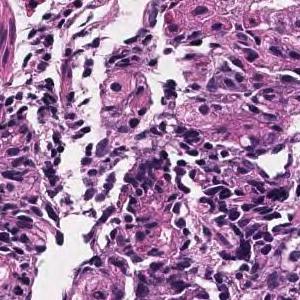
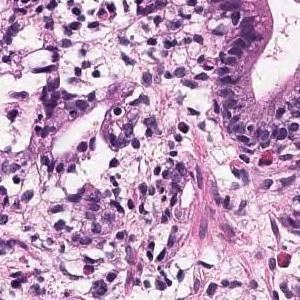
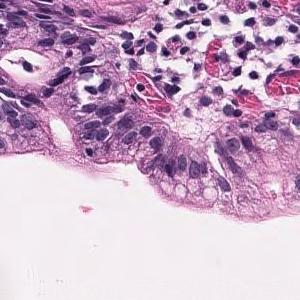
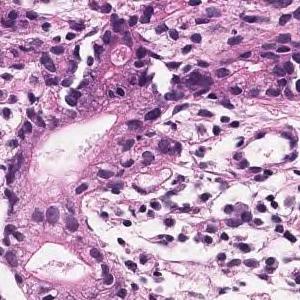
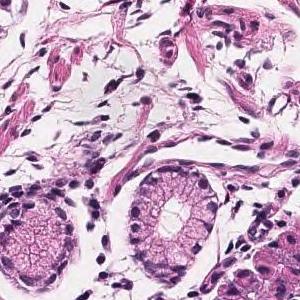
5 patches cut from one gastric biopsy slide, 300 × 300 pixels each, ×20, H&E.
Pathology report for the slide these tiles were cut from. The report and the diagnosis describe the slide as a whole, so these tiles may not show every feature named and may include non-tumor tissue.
Tumor tissue that grows and grows is observed, showing a medium-sized round or irregular duct. moderately differentiated tubular adenocarcinoma
